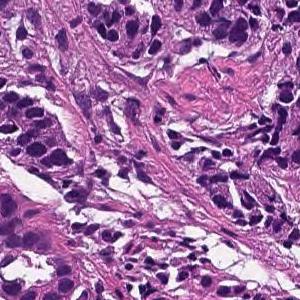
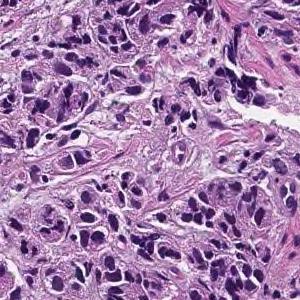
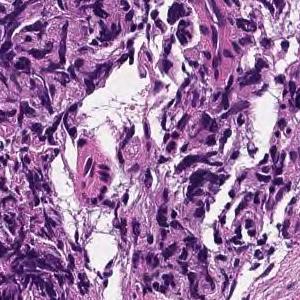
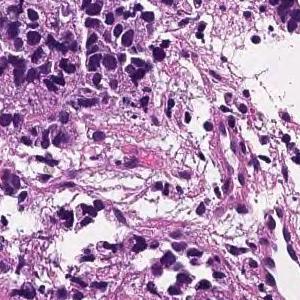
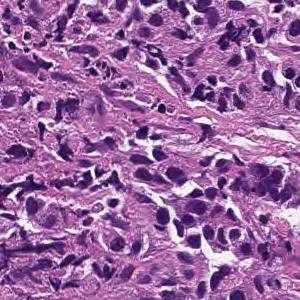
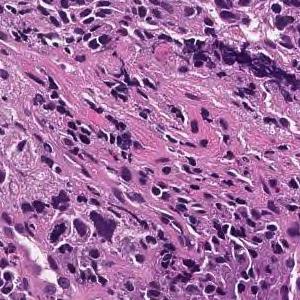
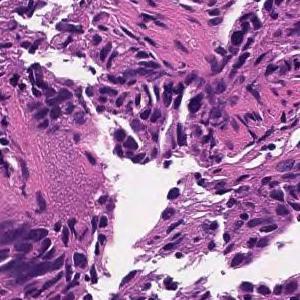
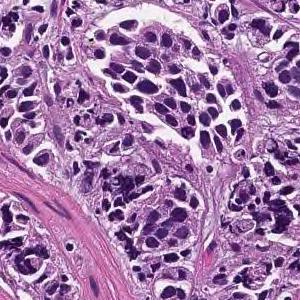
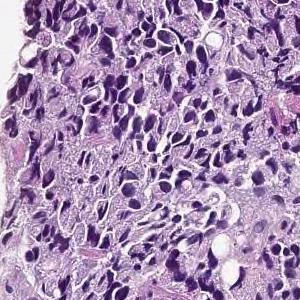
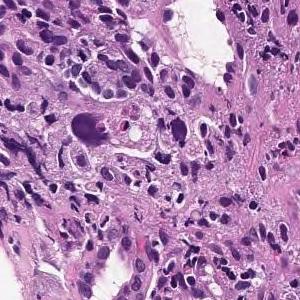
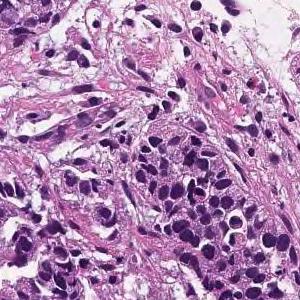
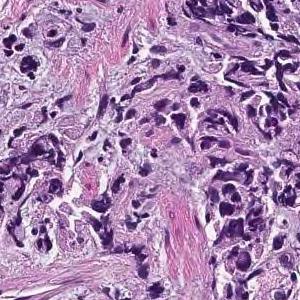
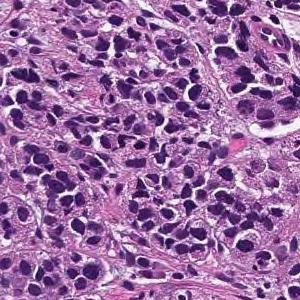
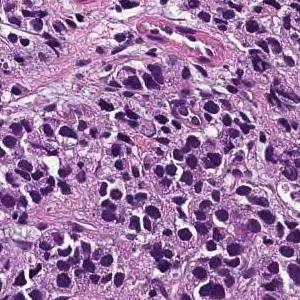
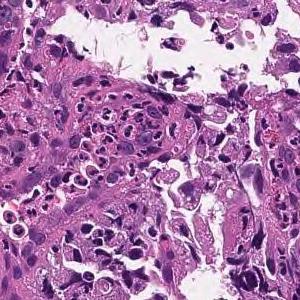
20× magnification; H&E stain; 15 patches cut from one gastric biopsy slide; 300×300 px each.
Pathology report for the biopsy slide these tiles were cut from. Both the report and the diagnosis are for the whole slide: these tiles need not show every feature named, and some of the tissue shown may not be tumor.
The lamina propria shows small cord-like tumor tissue that infiltrates with fibrosis and marked chronic inflammatory cell infiltration. Poorly differentiated adenocarcinoma, non-solid type
The term "non-solid type" comes from the Japanese Classification of Gastric Carcinoma.
